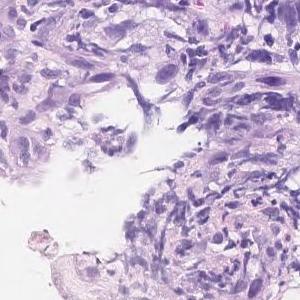
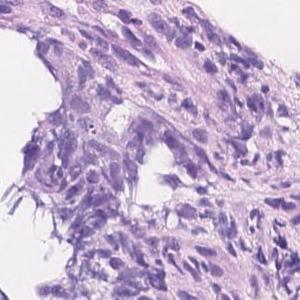
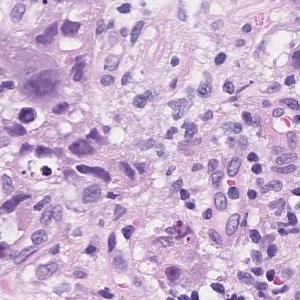
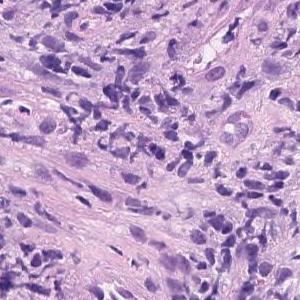
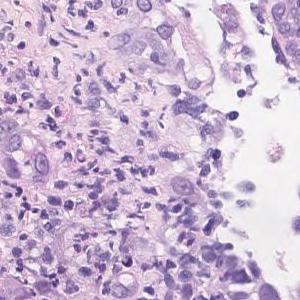
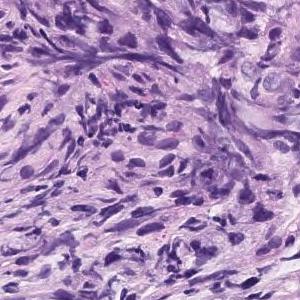
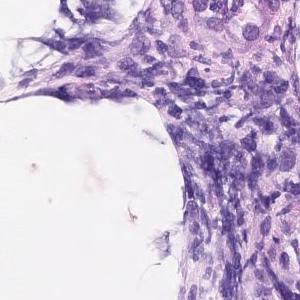
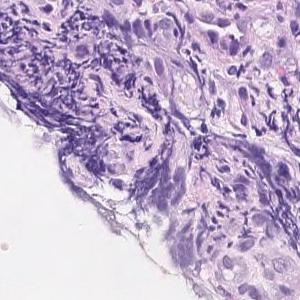
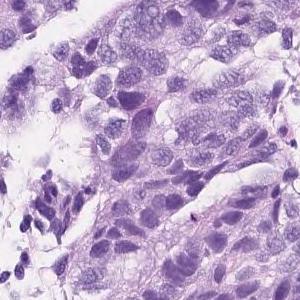
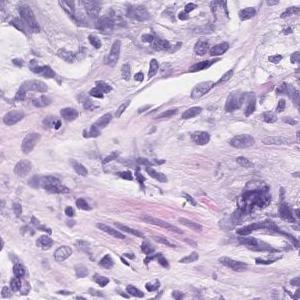
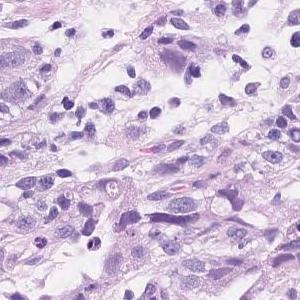
H&E; 11 tiles cut from one stomach biopsy slide.
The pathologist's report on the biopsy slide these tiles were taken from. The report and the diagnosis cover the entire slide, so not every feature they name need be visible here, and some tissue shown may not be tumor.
Atypical epithelial cells infiltrating and proliferating diffusely or while forming vesicles is observed. Poorly differentiated adenocarcinoma (poorly differentiated adenocarcinoma, solid type moderately differentiated tubular adenocarcinoma)
The dataset labels this slide poorly differentiated adenocarcinoma, solid type. This name comes from the Japanese Classification of Gastric Carcinoma; the WHO 2019 classification calls it tubular adenocarcinoma, poorly differentiated.
